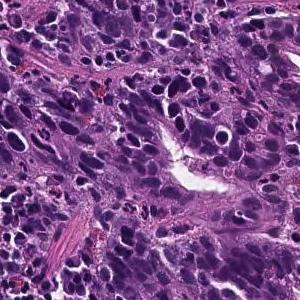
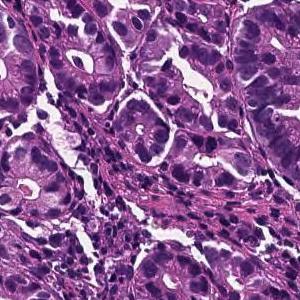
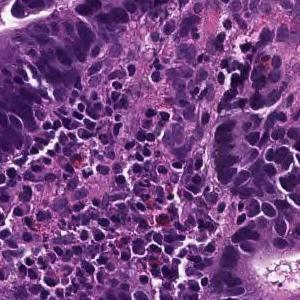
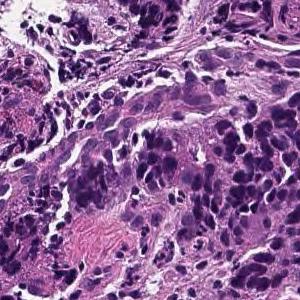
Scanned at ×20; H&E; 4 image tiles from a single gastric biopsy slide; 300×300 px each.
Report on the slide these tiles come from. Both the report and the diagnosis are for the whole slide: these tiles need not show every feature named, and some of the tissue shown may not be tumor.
On the superficial epithelium, tumor tissue consisting of large irregular glandular ducts partially fused and infiltrated is observed. Well to moderately differentiated tubular adenocarcinoma (well differentiated tubular adenocarcinoma, moderately differentiated tubular adenocarcinoma)
Histological subtype: Well to moderately differentiated tubular adenocarcinoma.
